12 tiles from the same stomach biopsy slide; ×20; hematoxylin and eosin stain.
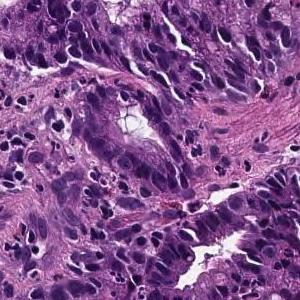
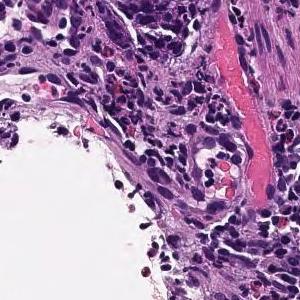
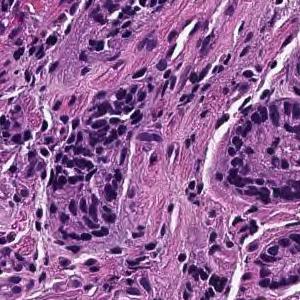
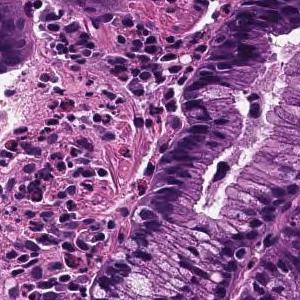
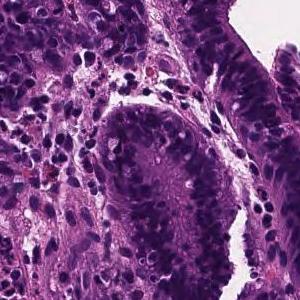
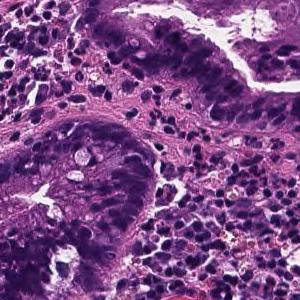
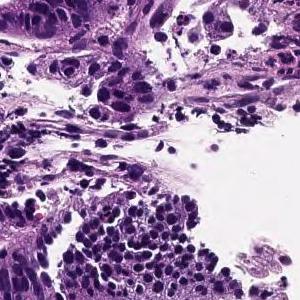
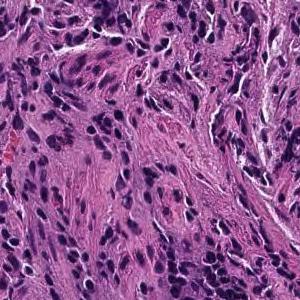
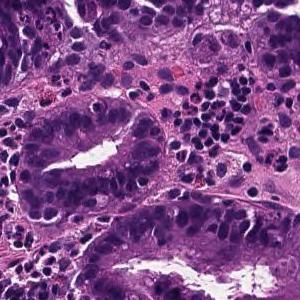
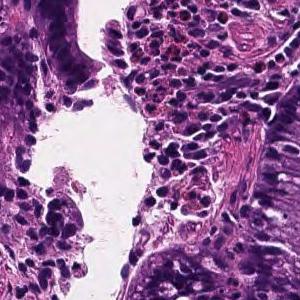
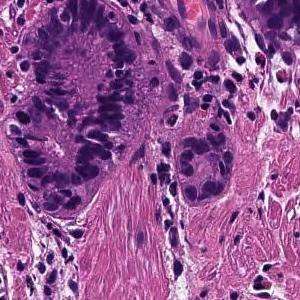
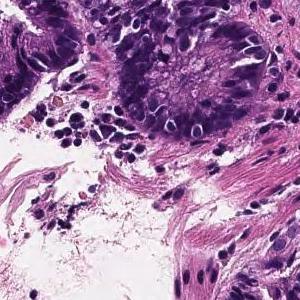
The pathologist's report on the biopsy slide these tiles were taken from. The findings and the diagnosis refer to the entire slide; these tiles show only part of it, possibly with non-tumor tissue, and may not show every feature named.
From the superficial epithelium to the muscularis mucosae, tumor tissue consisting of medium-sized and irregular glandular ducts infiltrating is observed. Well differentiated tubular adenocarcinoma
